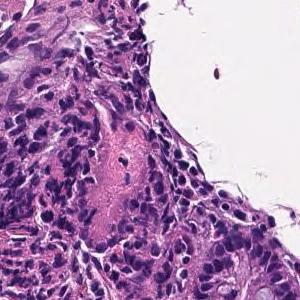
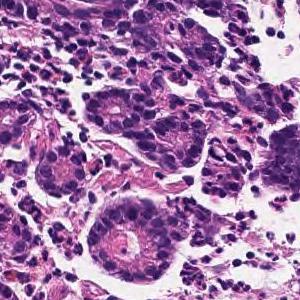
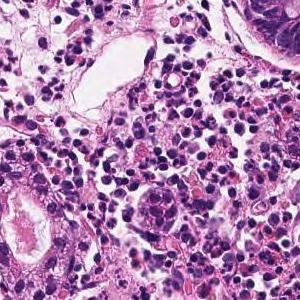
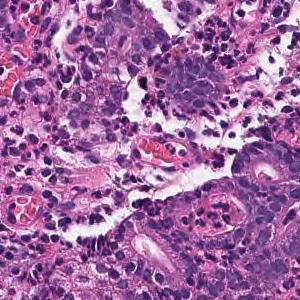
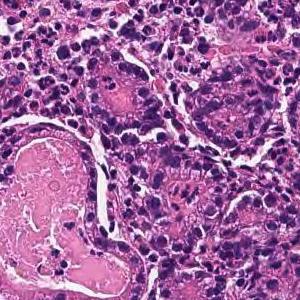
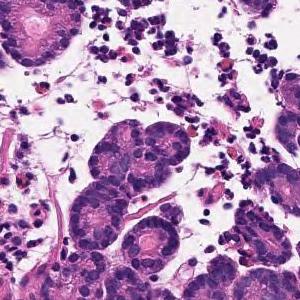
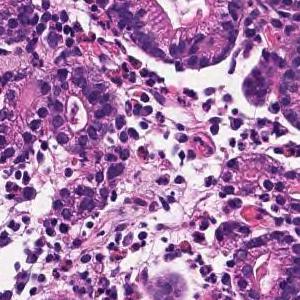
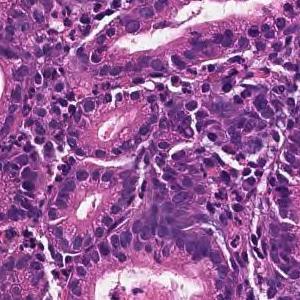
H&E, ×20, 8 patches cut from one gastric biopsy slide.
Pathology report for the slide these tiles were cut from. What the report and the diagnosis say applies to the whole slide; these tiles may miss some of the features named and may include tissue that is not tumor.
Tumor tissue infiltrated and proliferated with small to medium-sized irregular tubules is observed in the superficial epithelium. Well differentiated tubular adenocarcinoma
